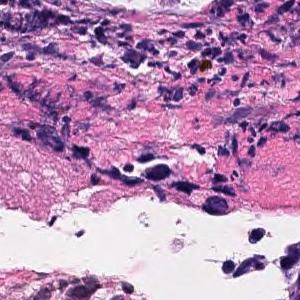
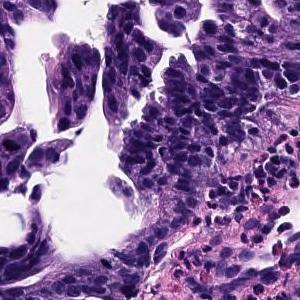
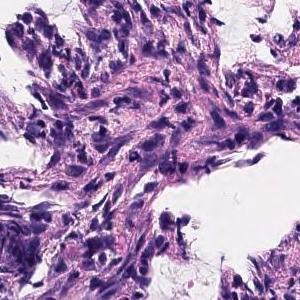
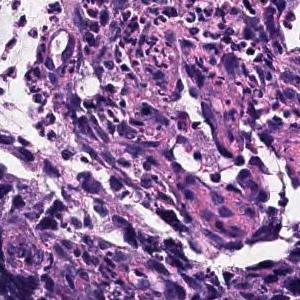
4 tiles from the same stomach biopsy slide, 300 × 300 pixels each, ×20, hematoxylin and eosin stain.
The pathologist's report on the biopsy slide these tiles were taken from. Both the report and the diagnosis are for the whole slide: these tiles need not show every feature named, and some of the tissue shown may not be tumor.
The superficial epithelium shows small cord-like infiltrating tumor tissue. Some part of neoplastic cells are signet ring cell type which show single invasion manner. Poorly differentiated adenocarcinoma, non-solid type.
The non-solid type named here is a Japanese Classification of Gastric Carcinoma category.
